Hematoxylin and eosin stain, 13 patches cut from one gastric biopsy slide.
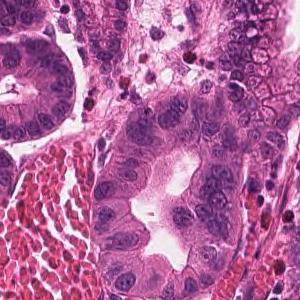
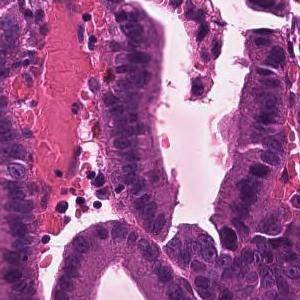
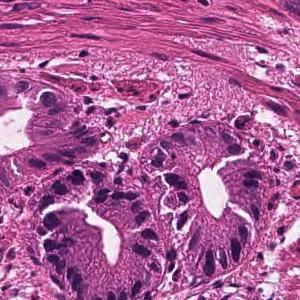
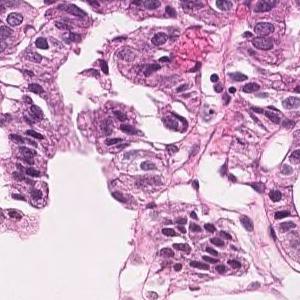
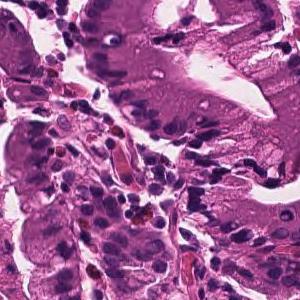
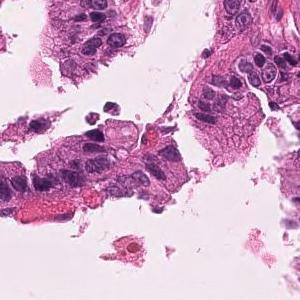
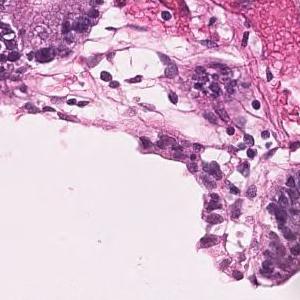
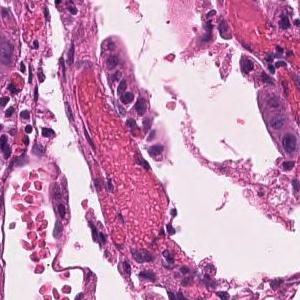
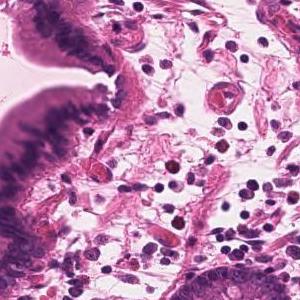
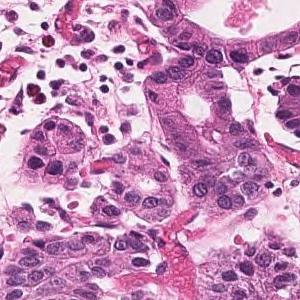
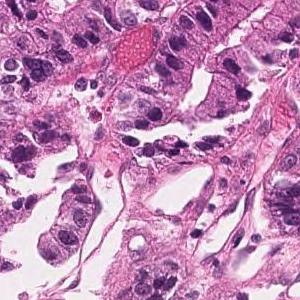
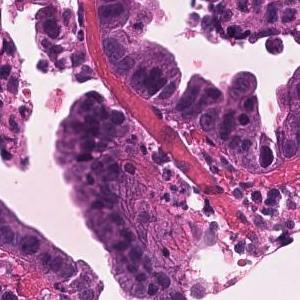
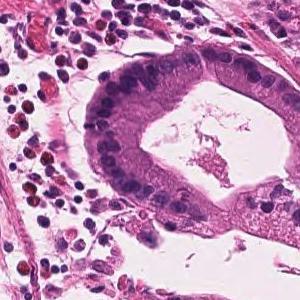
Pathology report for the biopsy slide these tiles were cut from. Both the report and the diagnosis are for the whole slide: these tiles need not show every feature named, and some of the tissue shown may not be tumor.
Infiltrating tumor tissue with medium-sized, irregular ductal structure or large papillary appearance is observed. Well differentiated tubular adenocarcinoma
